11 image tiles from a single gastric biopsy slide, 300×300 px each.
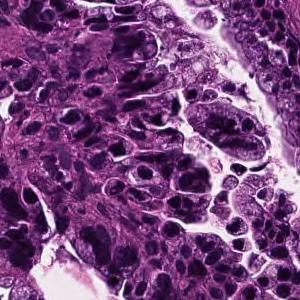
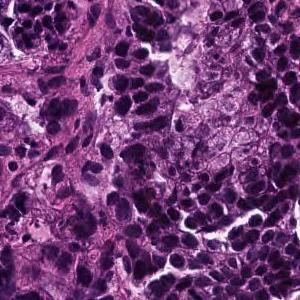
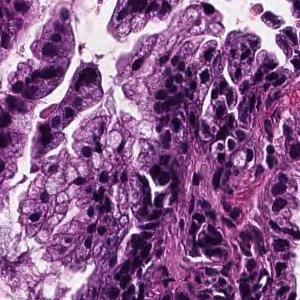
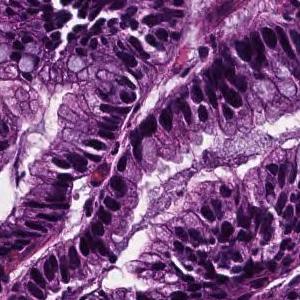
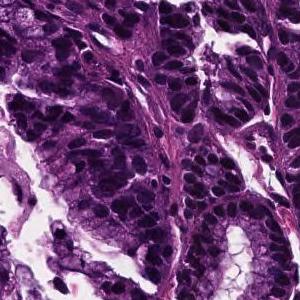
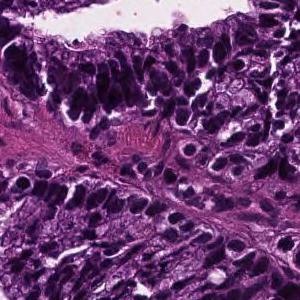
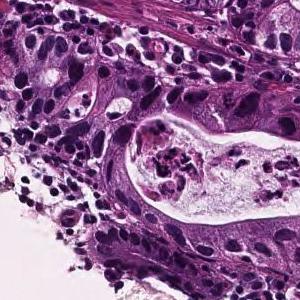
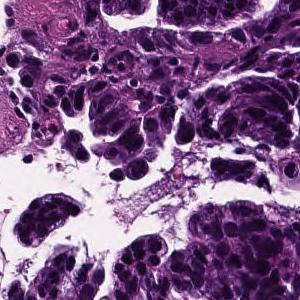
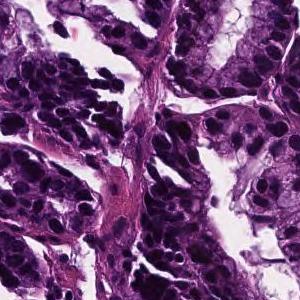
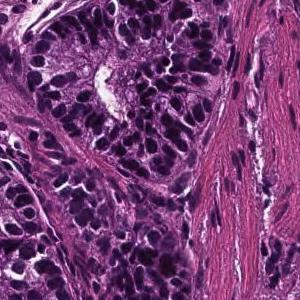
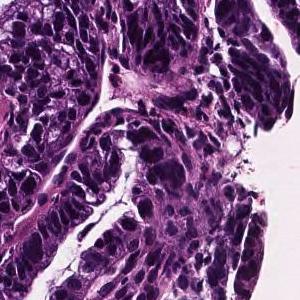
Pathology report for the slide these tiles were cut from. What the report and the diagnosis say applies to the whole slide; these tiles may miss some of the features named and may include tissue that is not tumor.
In the superficial epithelium, tumor tissue that invades by forming medium-sized to small, irregular ducts is observed. Well differentiated tubular adenocarcinoma.
